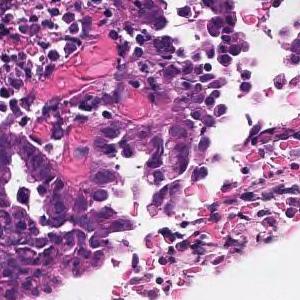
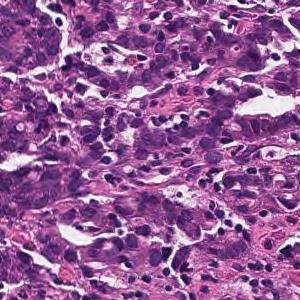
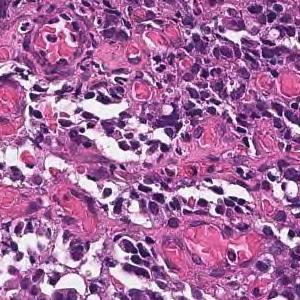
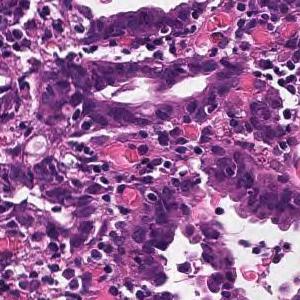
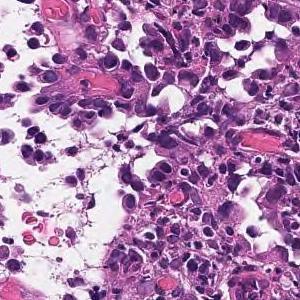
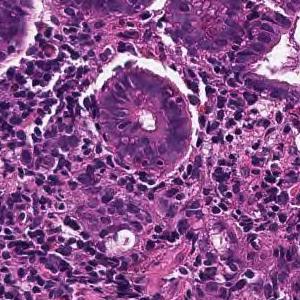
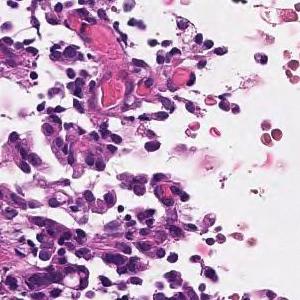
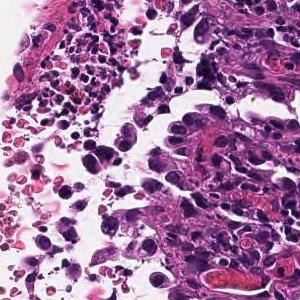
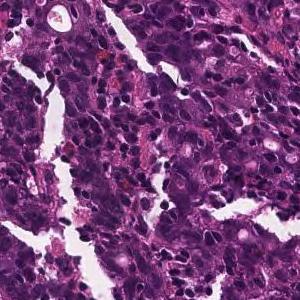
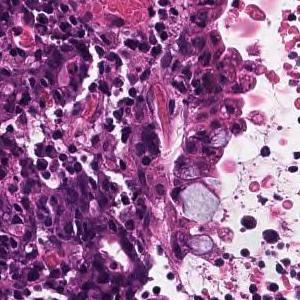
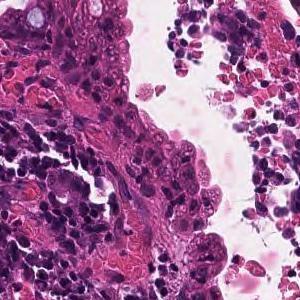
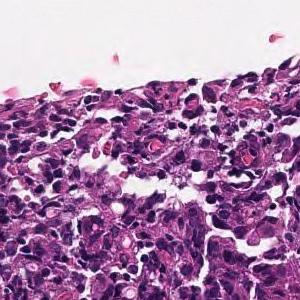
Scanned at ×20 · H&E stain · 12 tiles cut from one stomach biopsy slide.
Pathology report for the biopsy slide these tiles were cut from. The findings and the diagnosis refer to the entire slide; these tiles show only part of it, possibly with non-tumor tissue, and may not show every feature named.
In the superficial epithelium, tumor tissue that invades by forming medium-sized to small, irregular ducts is observed. moderately differentiated tubular adenocarcinoma.
